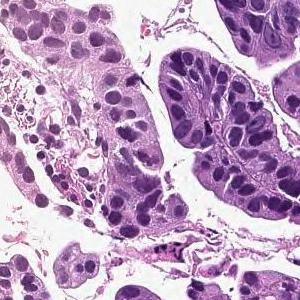
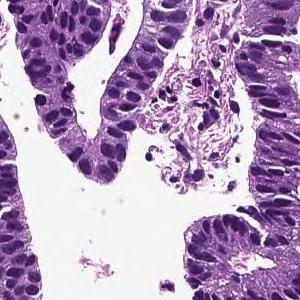
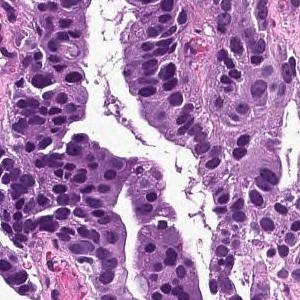
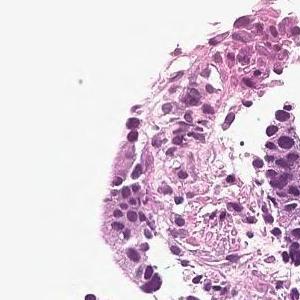
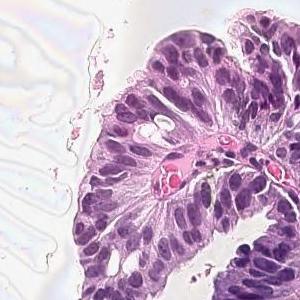
H&E · 5 tiles from the same stomach biopsy slide.
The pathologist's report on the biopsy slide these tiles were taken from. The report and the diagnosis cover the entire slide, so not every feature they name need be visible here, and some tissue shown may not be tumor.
Tumor cells are large, highly columnar, large club-shaped nuclei, and are associated with chromatin aggregation. Papillary adenocarcinoma.
